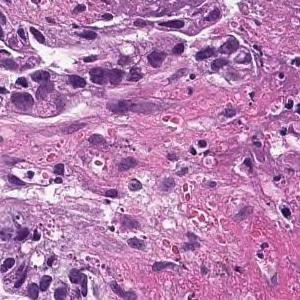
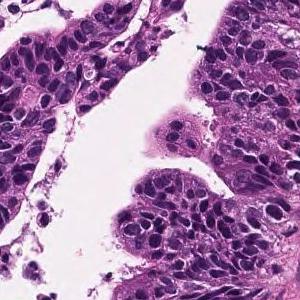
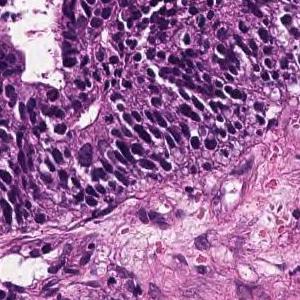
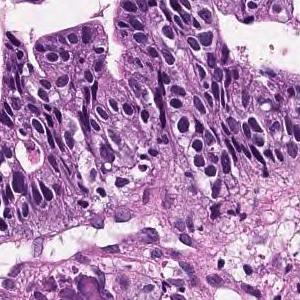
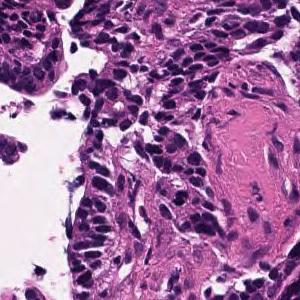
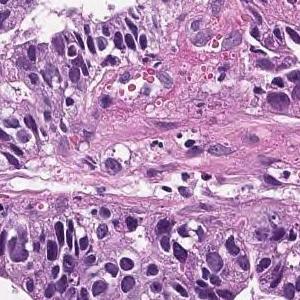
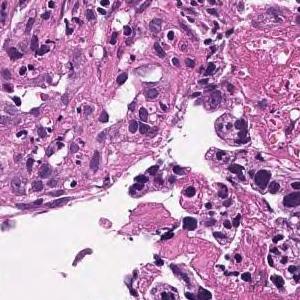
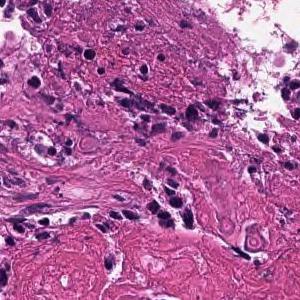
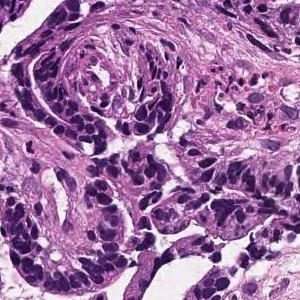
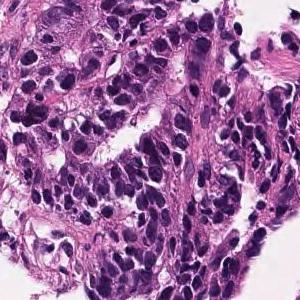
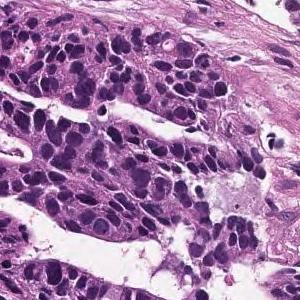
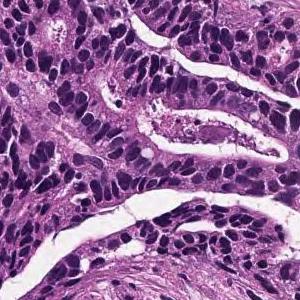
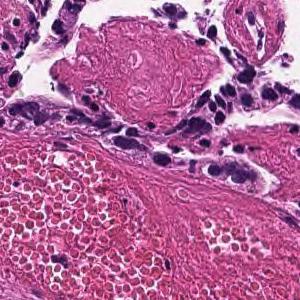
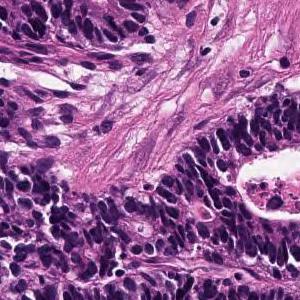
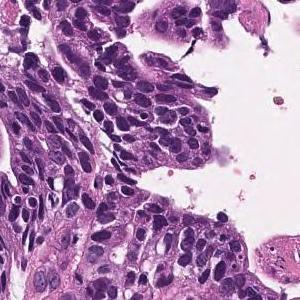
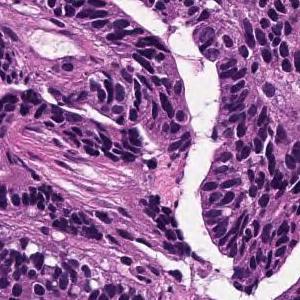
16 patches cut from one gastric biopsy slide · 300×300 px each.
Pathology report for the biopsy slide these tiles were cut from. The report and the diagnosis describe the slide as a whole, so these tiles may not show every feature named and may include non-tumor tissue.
In the superficial epithelium, tumor tissue that invades by forming medium-sized to small, irregular ducts is observed. Well differentiated tubular adenocarcinoma.
